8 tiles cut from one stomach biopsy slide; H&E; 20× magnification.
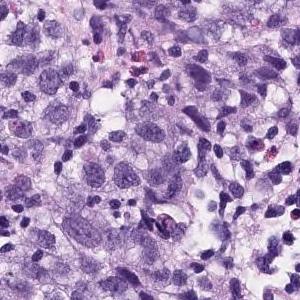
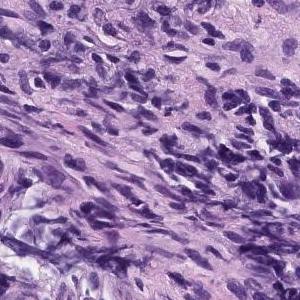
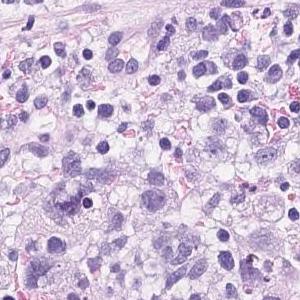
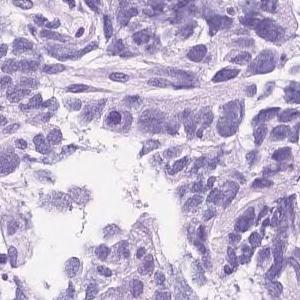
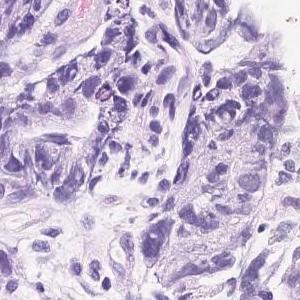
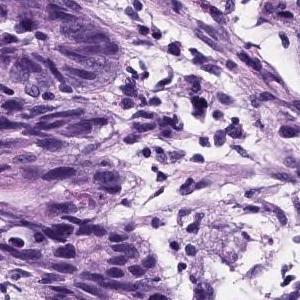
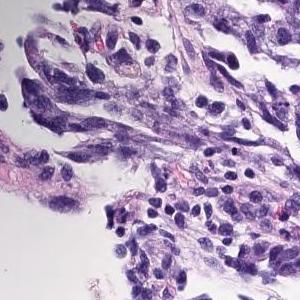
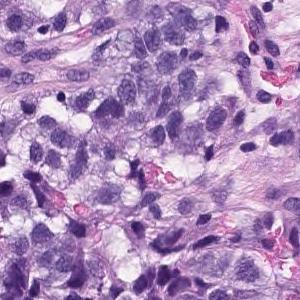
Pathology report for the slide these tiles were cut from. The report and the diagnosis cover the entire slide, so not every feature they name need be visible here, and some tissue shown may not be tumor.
Atypical epithelial cells with an increased N/C ratio proliferate and consist of a part that shows the formation of gland ducts and a part that shows solid growth. Poorly differentiated adenocarcinoma, solid-type
Subtype: Poorly differentiated adenocarcinoma, solid type. This name comes from the Japanese Classification of Gastric Carcinoma; the WHO 2019 classification calls it tubular adenocarcinoma, poorly differentiated.
